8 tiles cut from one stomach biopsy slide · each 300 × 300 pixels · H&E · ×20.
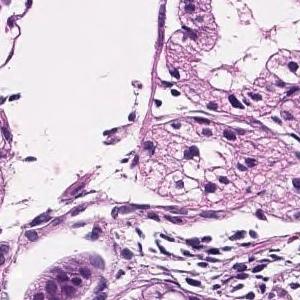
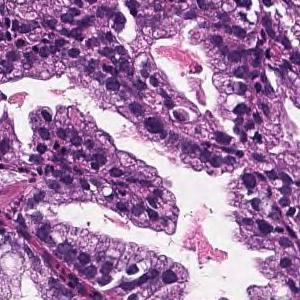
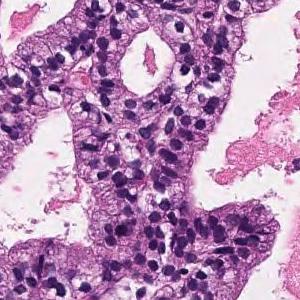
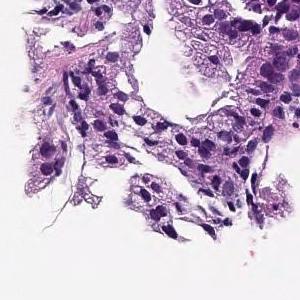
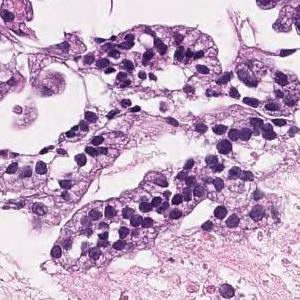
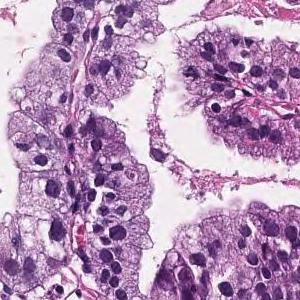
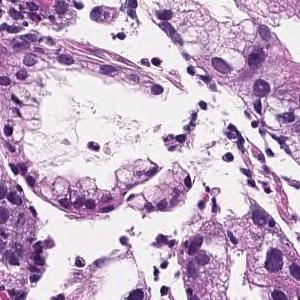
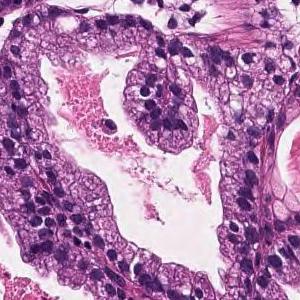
Diagnostic report for the slide these tiles come from. The report describes the whole slide, diagnosis included: not every finding it names need appear in these tiles, which may also show non-tumor tissue.
In the superficial epithelium, tumor tissue that infiltrates by forming medium-sized papillary or small irregular ducts is observed. Papillary adenocarcinoma
